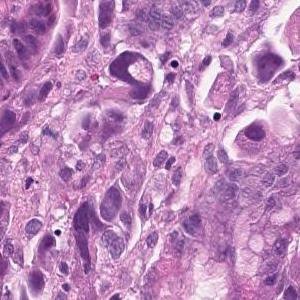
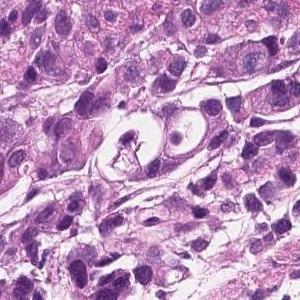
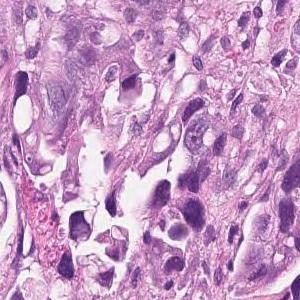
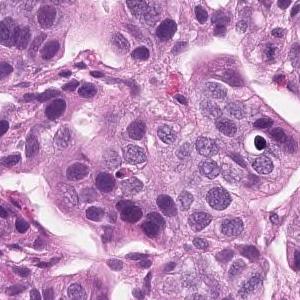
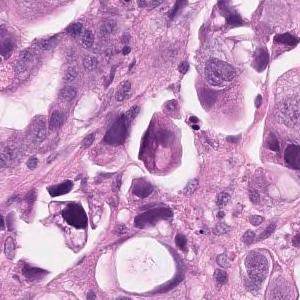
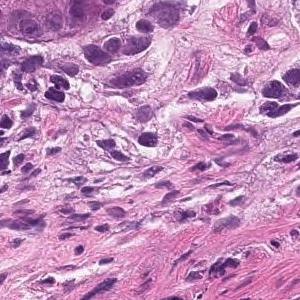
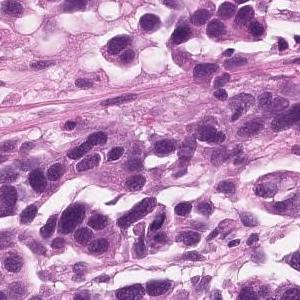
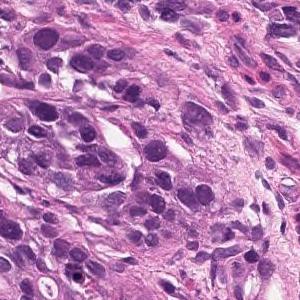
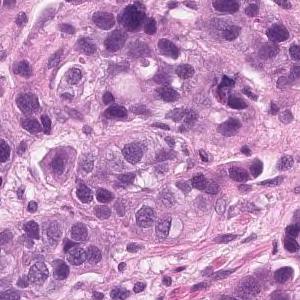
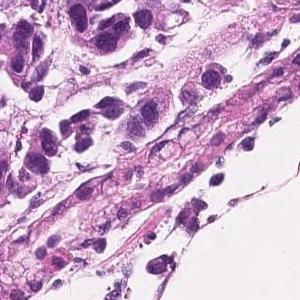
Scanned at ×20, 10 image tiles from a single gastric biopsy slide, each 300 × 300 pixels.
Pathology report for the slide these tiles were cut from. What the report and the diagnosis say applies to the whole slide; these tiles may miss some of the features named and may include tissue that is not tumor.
Tumor tissue that infiltrates the epithelium in an alveolar manner. Poorly differentiated adenocarcinoma, solid-type
Histologic type: Poorly differentiated adenocarcinoma, solid type (Japanese Classification of Gastric Carcinoma). The WHO 2019 equivalent is tubular adenocarcinoma, poorly differentiated.
